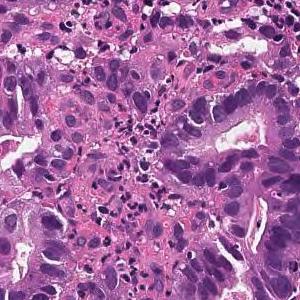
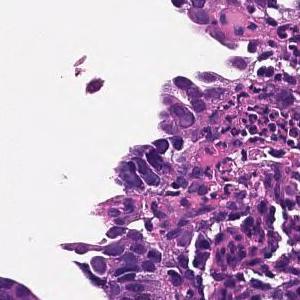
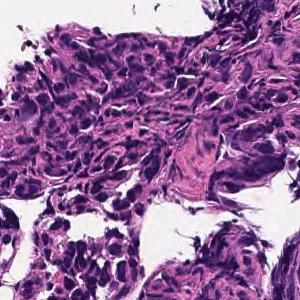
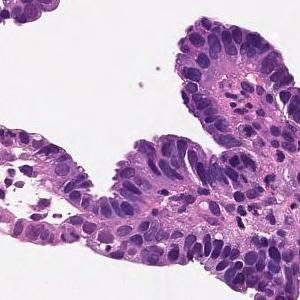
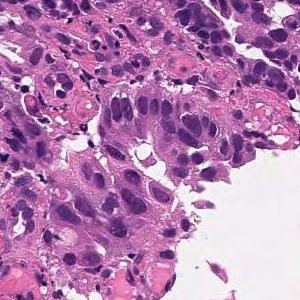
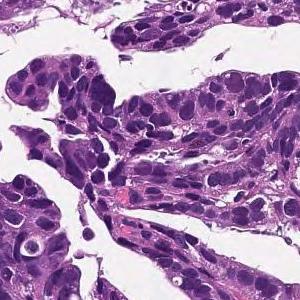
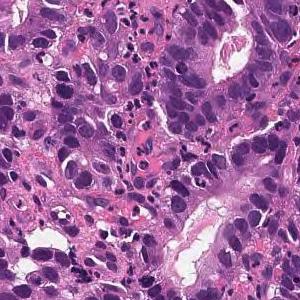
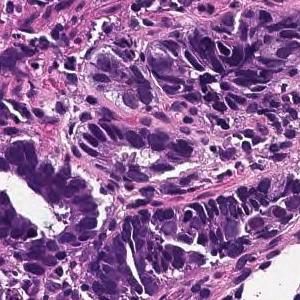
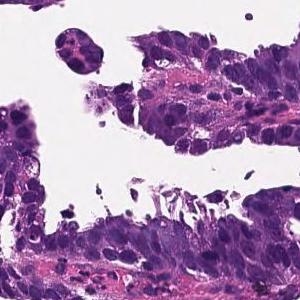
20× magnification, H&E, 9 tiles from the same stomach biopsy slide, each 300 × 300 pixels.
Diagnostic report for the slide these tiles come from. The report and the diagnosis describe the slide as a whole, so these tiles may not show every feature named and may include non-tumor tissue.
Tumor cells are large, highly columnar, large club-shaped nuclei, and are associated with chromatin aggregation. Papillary adenocarcinoma.
